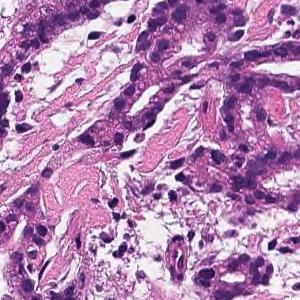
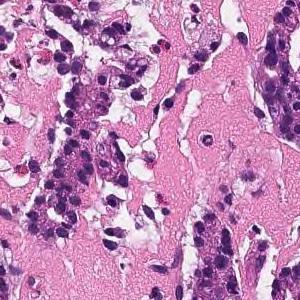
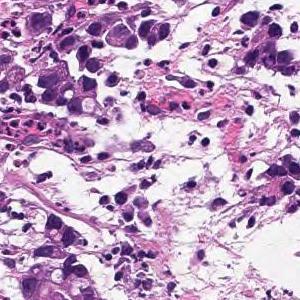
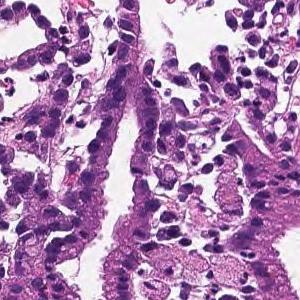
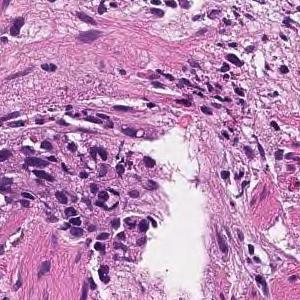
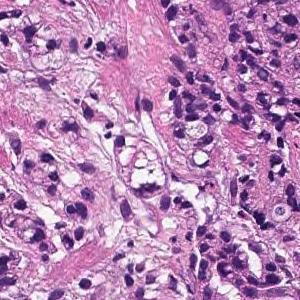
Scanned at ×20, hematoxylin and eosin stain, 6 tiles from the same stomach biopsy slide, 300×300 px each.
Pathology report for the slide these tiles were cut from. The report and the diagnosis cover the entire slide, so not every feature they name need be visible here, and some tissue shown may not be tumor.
In the superficial epithelium, tumor tissue that invades by forming medium-sized to small, irregular ducts is observed. moderately differentiated tubular adenocarcinoma.
